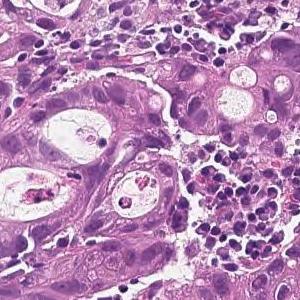
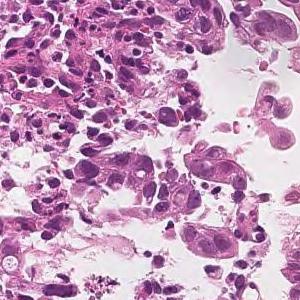
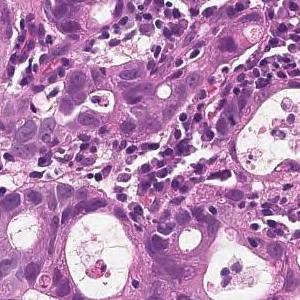
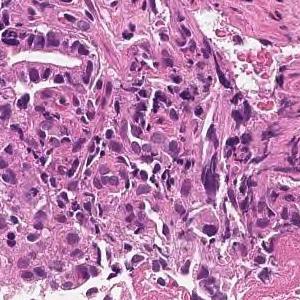
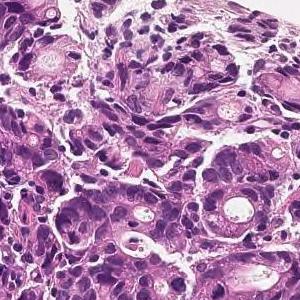
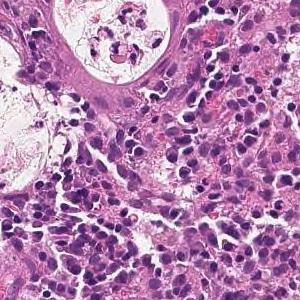
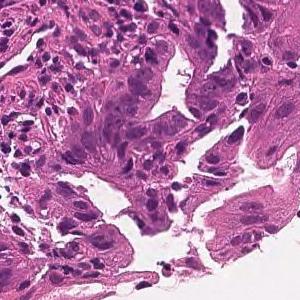
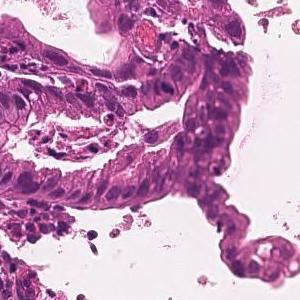
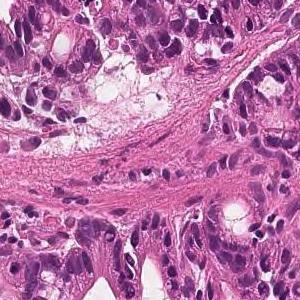
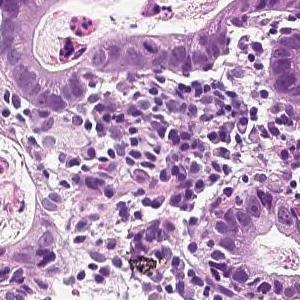
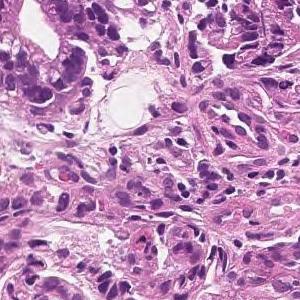
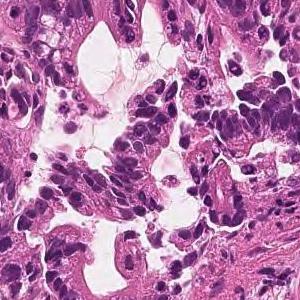
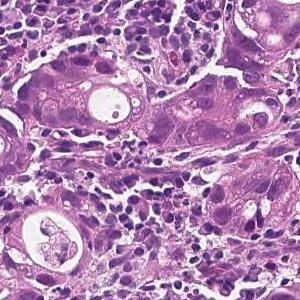
Scanned at ×20 · 13 tiles from the same stomach biopsy slide · 300 × 300 pixels each.
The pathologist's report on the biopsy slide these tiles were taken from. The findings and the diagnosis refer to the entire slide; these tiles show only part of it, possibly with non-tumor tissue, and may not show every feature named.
On the superficial epithelium, tumor tissue is found in which medium-sized irregular gland ducts fuse with each other and infiltrate. moderately differentiated tubular adenocarcinoma
